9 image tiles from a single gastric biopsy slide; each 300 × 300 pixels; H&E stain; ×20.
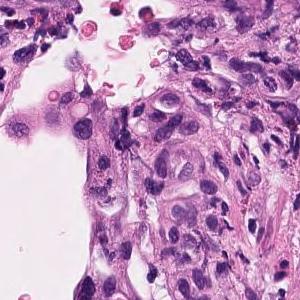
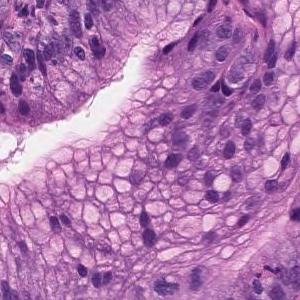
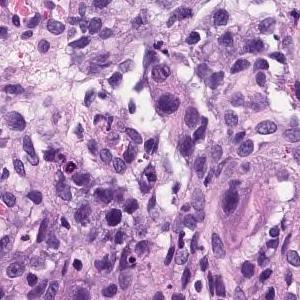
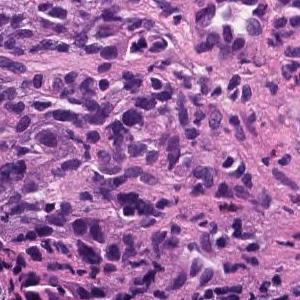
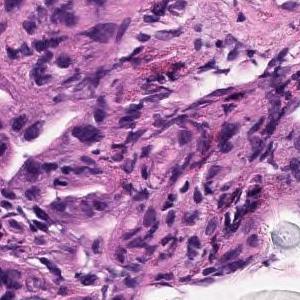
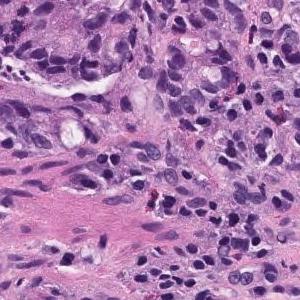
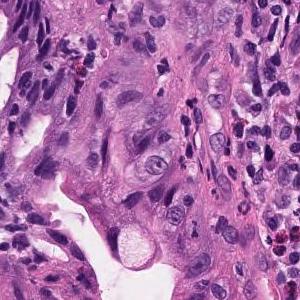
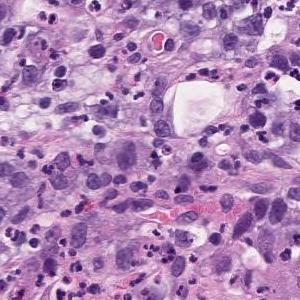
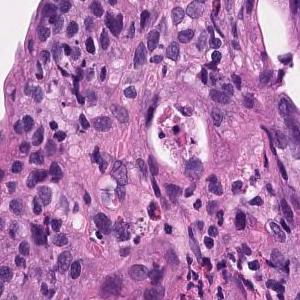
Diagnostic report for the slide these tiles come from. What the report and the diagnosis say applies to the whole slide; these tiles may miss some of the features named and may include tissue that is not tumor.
moderately differentiated tubular adenocarcinoma, Poorly differentiated adenocarcinoma
The dataset labels this slide poorly differentiated adenocarcinoma, solid type (Japanese Classification of Gastric Carcinoma). The WHO 2019 equivalent is tubular adenocarcinoma, poorly differentiated.
